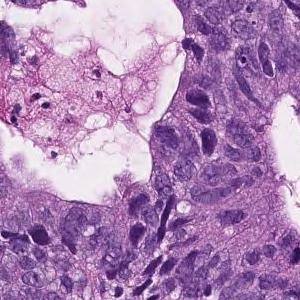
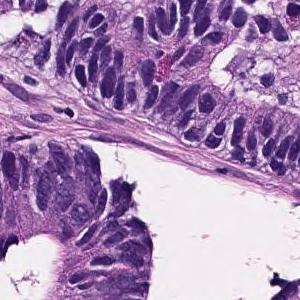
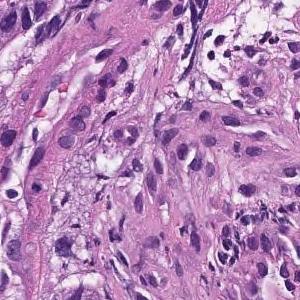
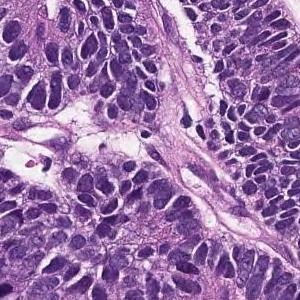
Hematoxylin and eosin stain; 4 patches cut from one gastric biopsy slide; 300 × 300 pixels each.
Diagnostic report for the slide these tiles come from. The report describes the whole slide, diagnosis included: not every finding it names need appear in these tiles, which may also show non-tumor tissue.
In the superficial epithelium, tumor tissue that invades by forming medium-sized to small, irregular ducts is observed. moderately differentiated tubular adenocarcinoma.
